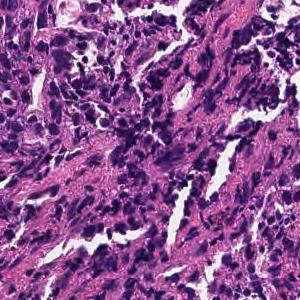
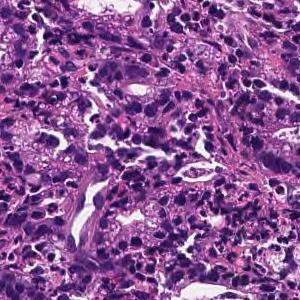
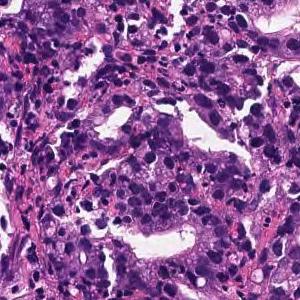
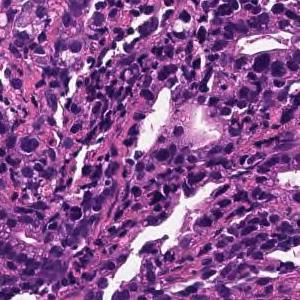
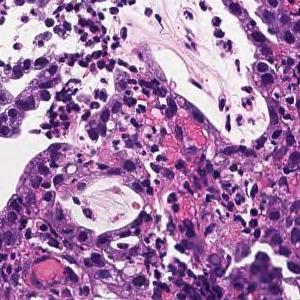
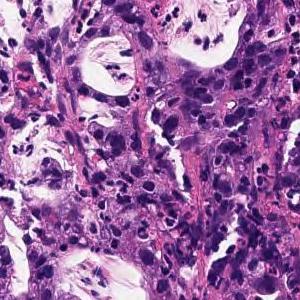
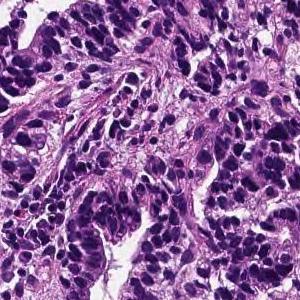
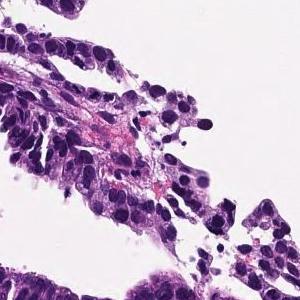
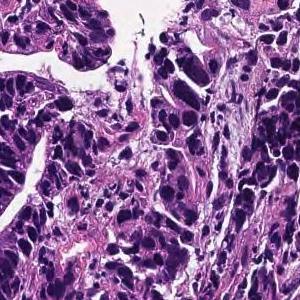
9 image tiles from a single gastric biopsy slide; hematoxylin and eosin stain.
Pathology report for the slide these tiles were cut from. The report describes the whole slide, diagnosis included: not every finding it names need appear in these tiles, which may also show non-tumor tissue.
On the superficial epithelium, tumor tissue consisting of large, irregular glandular ducts partially fused and infiltrated is observed. Well to moderately differentiated tubular adenocarcinoma (well differentiated tubular adenocarcinoma, moderately differentiated tubular adenocarcinoma)
Subtype: Well to moderately differentiated tubular adenocarcinoma.
